13 tiles from the same stomach biopsy slide.
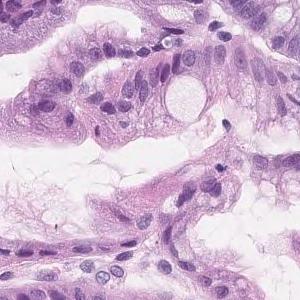
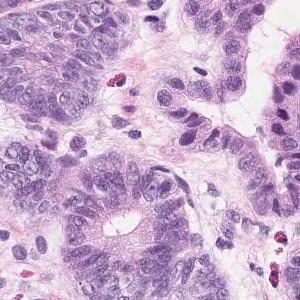
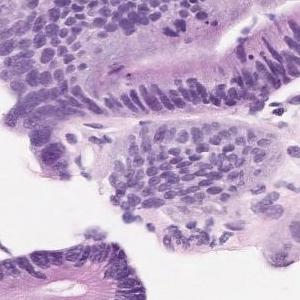
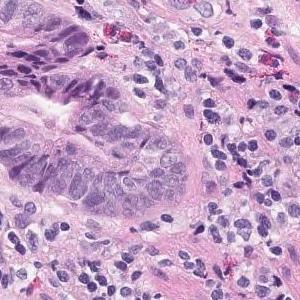
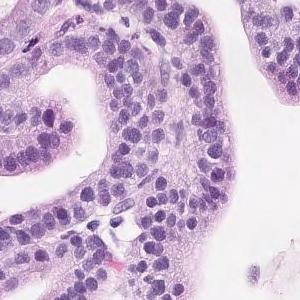
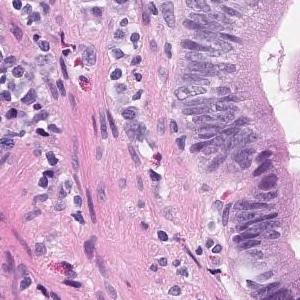
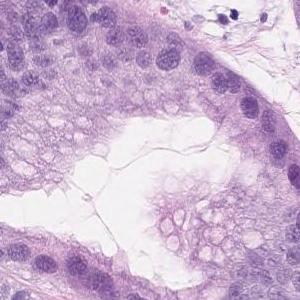
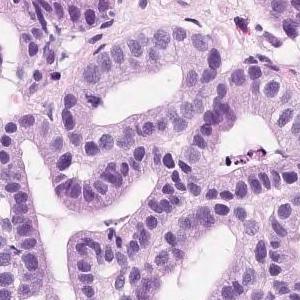
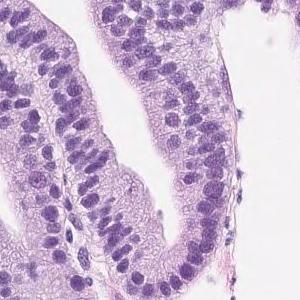
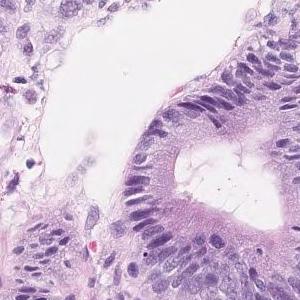
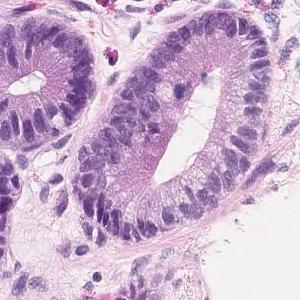
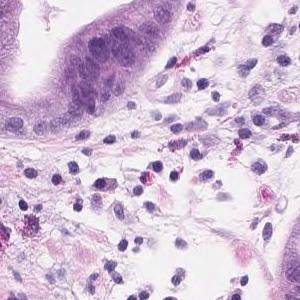
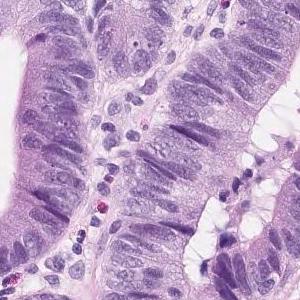
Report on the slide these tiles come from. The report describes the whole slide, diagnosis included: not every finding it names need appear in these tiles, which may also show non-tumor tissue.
Short atypical epithelium with swelling of the nucleus shows proliferating, large and small irregular ductal structures. Well to moderately differentiated tubular adenocarcinoma (well differentiated tubular adenocarcinoma-moderately differentiated tubular adenocarcinoma)
Classified as well to moderately differentiated tubular adenocarcinoma.
